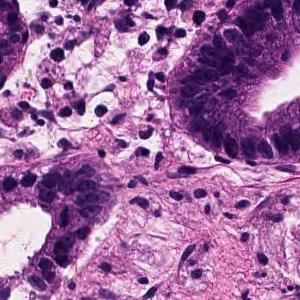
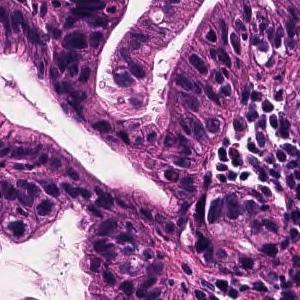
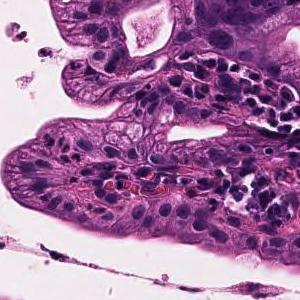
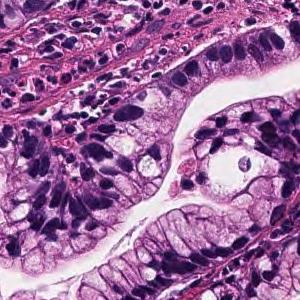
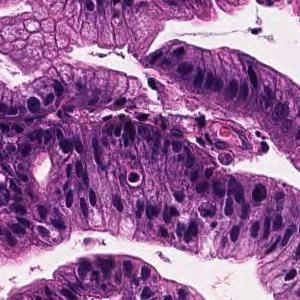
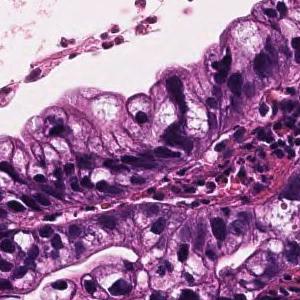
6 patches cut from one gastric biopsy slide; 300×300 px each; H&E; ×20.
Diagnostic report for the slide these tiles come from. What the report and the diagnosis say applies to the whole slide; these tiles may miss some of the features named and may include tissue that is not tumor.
Tumor cells are large, highly columnar, large club-shaped nuclei, and are associated with chromatin aggregation. Papillary adenocarcinoma.
